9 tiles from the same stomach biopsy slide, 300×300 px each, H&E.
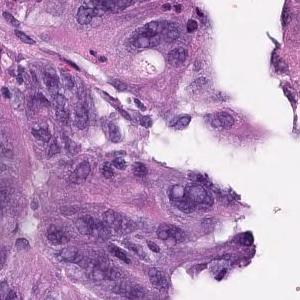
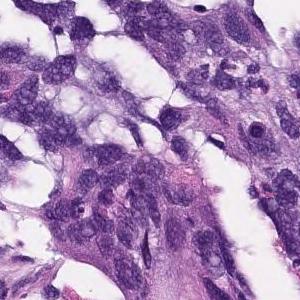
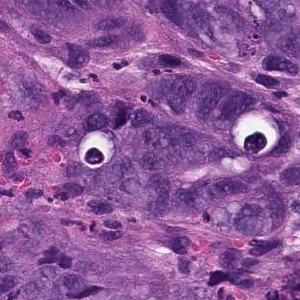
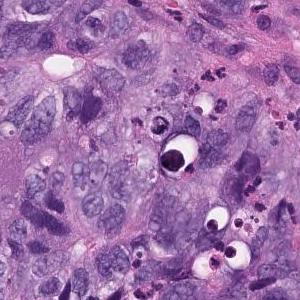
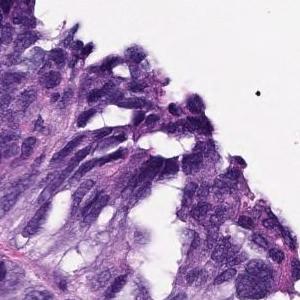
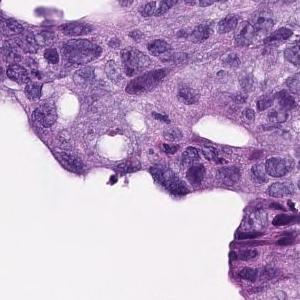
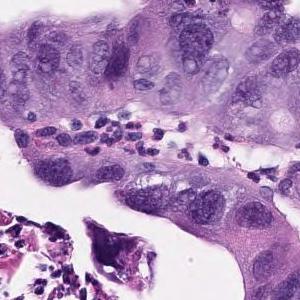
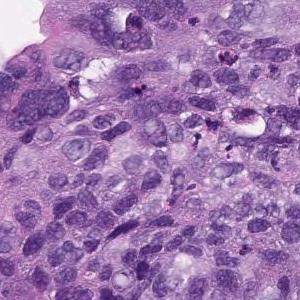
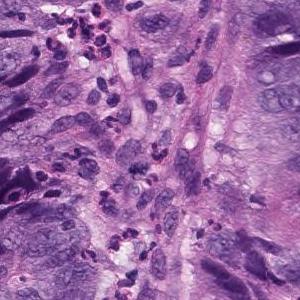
Report on the slide these tiles come from. What the report and the diagnosis say applies to the whole slide; these tiles may miss some of the features named and may include tissue that is not tumor.
In the superficial epithelium, tumor tissue that invades by forming medium-sized to small, irregular ducts is observed. Moderately differentiated adenocarcinoma.
Subtype: Moderately differentiated tubular adenocarcinoma.
